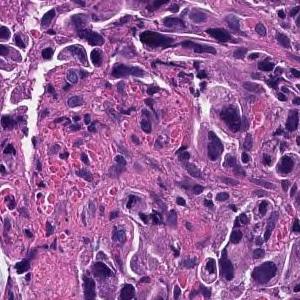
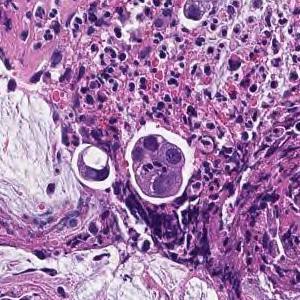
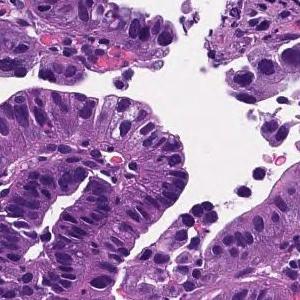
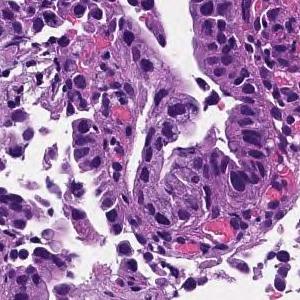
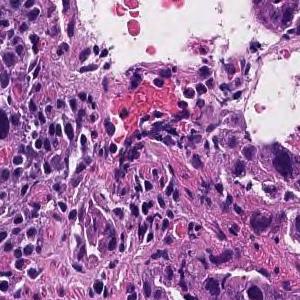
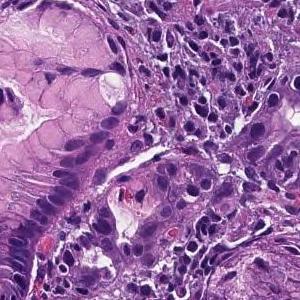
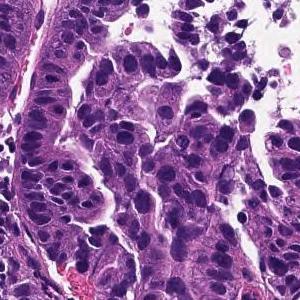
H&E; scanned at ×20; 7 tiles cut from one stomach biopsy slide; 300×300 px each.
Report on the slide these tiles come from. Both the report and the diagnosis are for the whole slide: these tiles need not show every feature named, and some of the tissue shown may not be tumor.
Tumor tissue consisting of medium-sized, cord-like or irregular glandular infiltration is observed in the superficial epithelium. Poorly differentiated adenocarcinoma, non-solid type or moderately differentiated tubular adenocarcinoma
Subtype: Moderately to poorly differentiated adenocarcinoma.
The non-solid type named here is a Japanese Classification of Gastric Carcinoma category.
